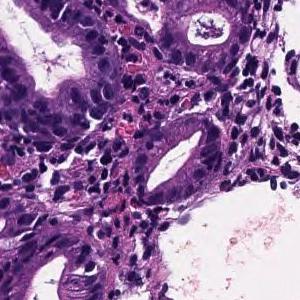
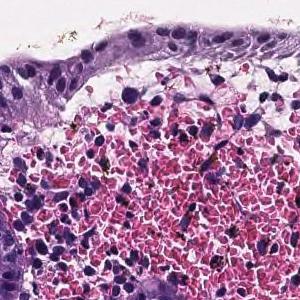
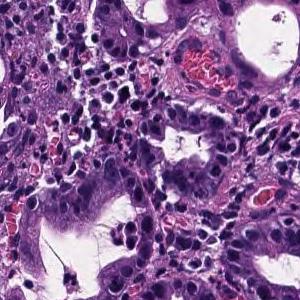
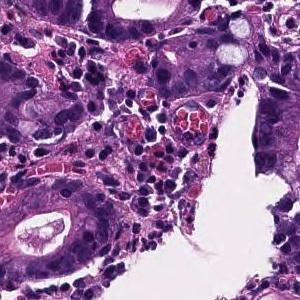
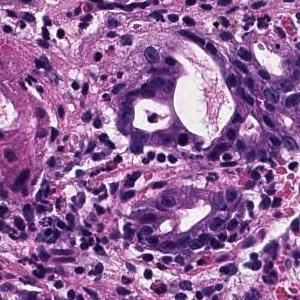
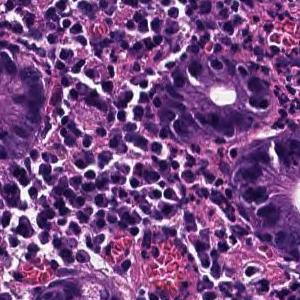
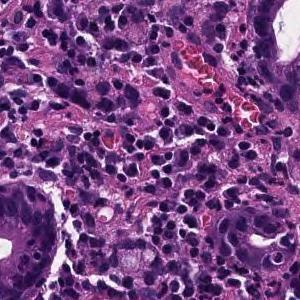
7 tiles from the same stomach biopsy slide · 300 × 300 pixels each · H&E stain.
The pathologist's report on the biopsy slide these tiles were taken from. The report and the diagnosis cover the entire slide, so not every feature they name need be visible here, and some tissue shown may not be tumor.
In the superficial epithelium, tumor tissue that invades by forming medium-sized to small, irregular ducts is observed. moderately differentiated tubular adenocarcinoma.
